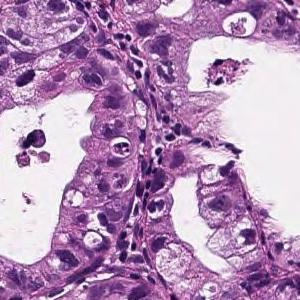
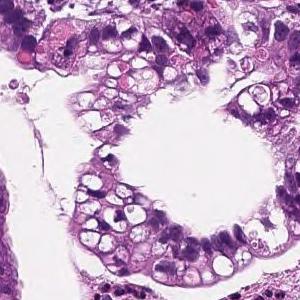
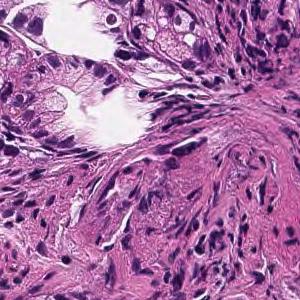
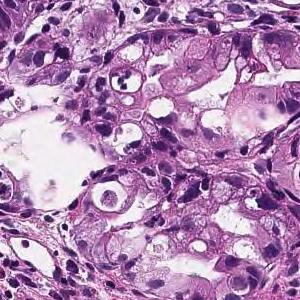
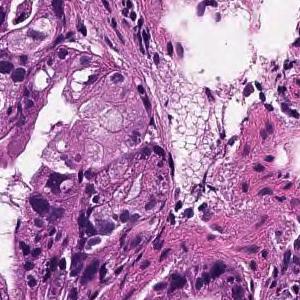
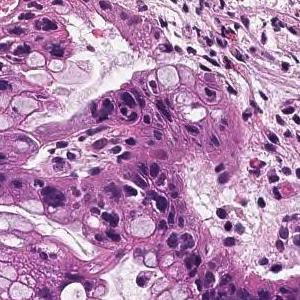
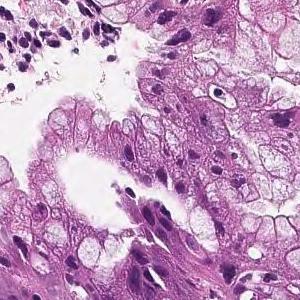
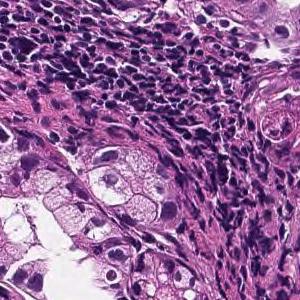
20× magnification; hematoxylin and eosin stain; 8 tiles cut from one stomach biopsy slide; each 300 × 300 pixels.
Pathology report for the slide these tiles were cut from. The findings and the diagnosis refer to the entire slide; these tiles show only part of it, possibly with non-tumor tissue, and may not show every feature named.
From the superficial epithelium to the muscularis mucosae, tumor tissue consisting of medium-sized and irregular glandular ducts infiltrating is observed. Well differentiated tubular adenocarcinoma
